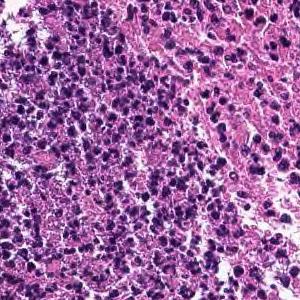
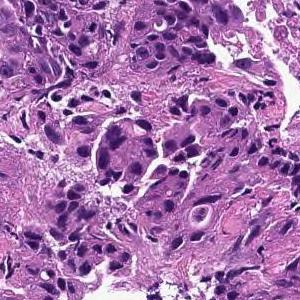
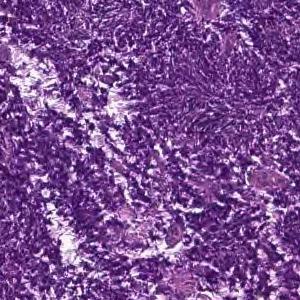
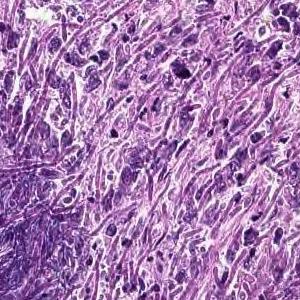
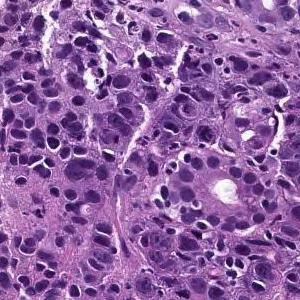
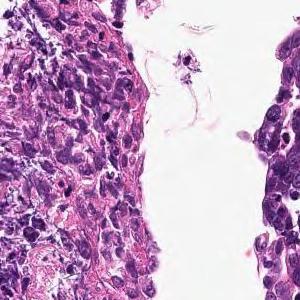
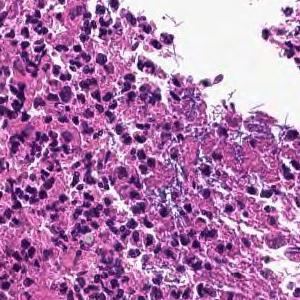
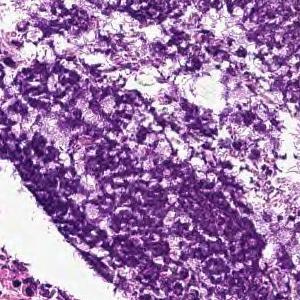
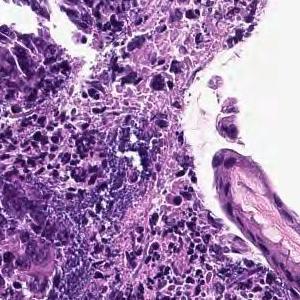
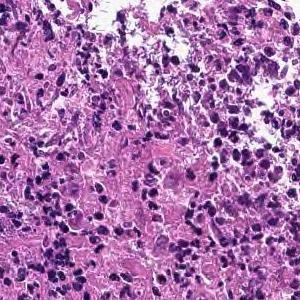
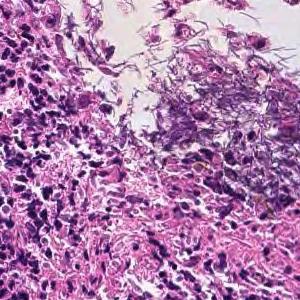
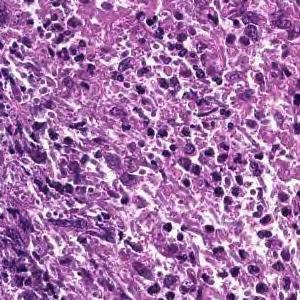
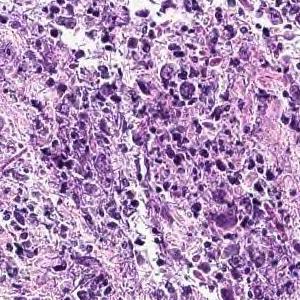
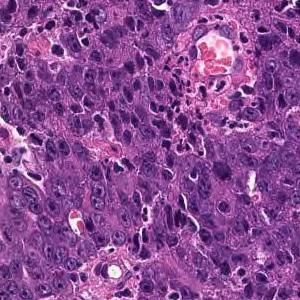
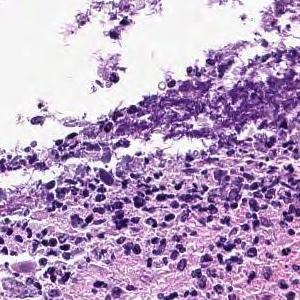
15 patches cut from one gastric biopsy slide; scanned at ×20; H&E stain.
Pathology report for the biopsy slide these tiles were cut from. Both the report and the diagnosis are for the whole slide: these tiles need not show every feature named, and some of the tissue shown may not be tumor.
Cancers with polygonal nuclei do not show glandular formation and are densely, in part, cord-like and proliferate. Poorly differentiated adenocarcinoma
Histological subtype: Poorly differentiated adenocarcinoma, non-solid type.
The term "non-solid type" comes from the Japanese Classification of Gastric Carcinoma.
